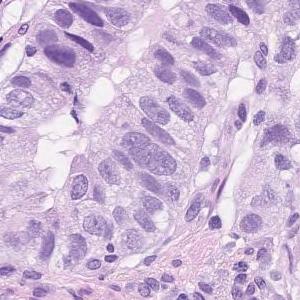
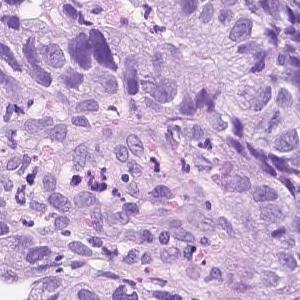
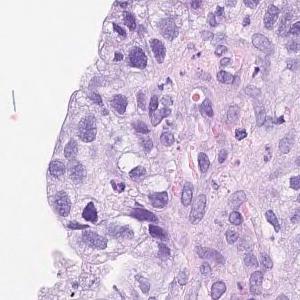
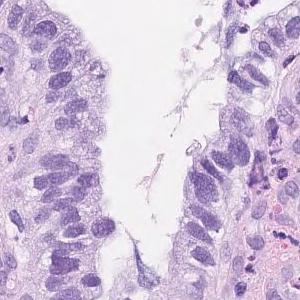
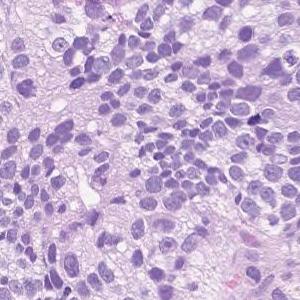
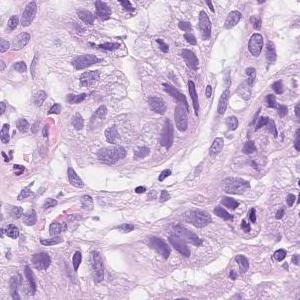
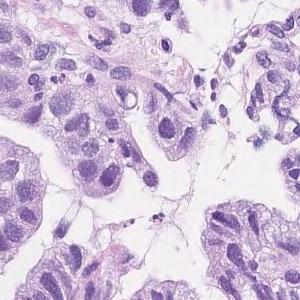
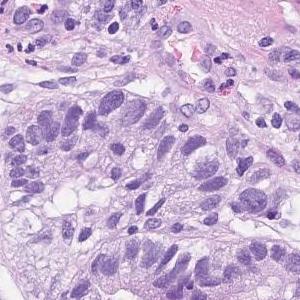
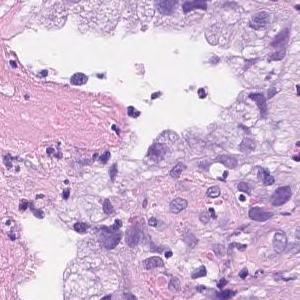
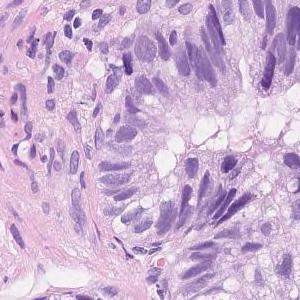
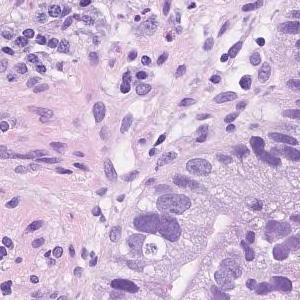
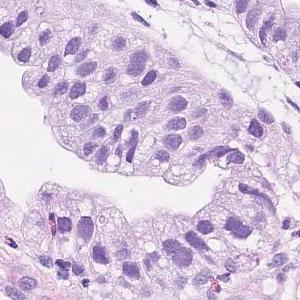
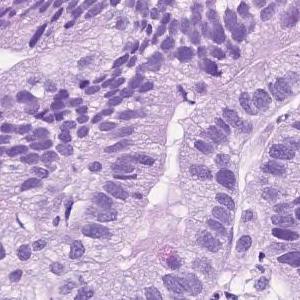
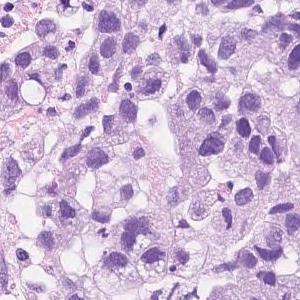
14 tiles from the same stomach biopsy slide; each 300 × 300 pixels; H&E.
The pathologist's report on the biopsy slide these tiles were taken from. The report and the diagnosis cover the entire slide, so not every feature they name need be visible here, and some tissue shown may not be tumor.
Atypical l cells with atypical nuclei forming solid or diffuse vesicles or small irregular atypical ducts and growing in a complex manner. moderately differentiated tubular adenocarcinoma
